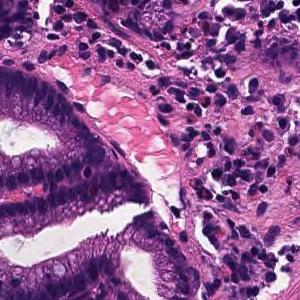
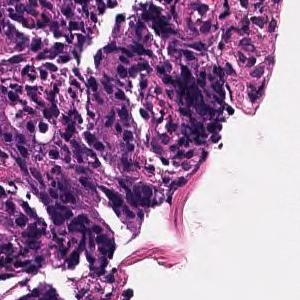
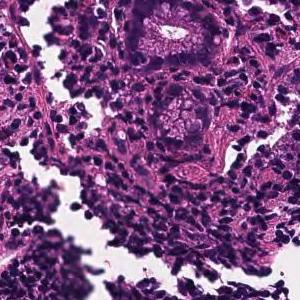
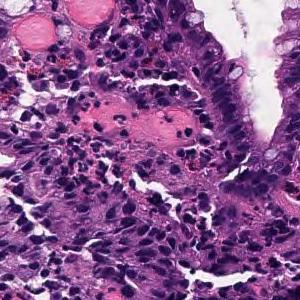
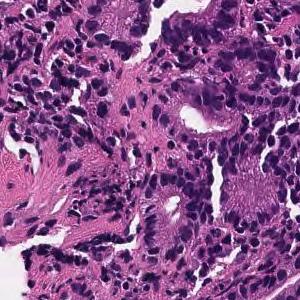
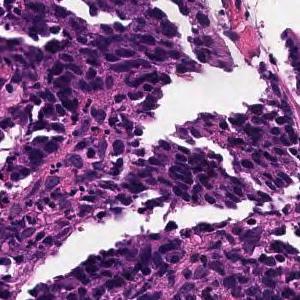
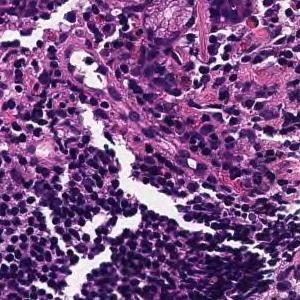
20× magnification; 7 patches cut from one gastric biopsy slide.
Report on the slide these tiles come from. The findings and the diagnosis refer to the entire slide; these tiles show only part of it, possibly with non-tumor tissue, and may not show every feature named.
In the superficial epithelium, tumor tissue that invades by forming medium-sized to small, irregular ducts is observed. moderately differentiated tubular adenocarcinoma.
